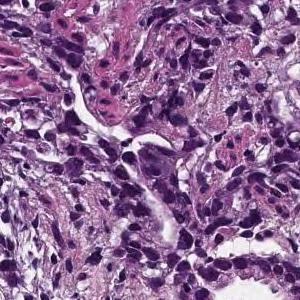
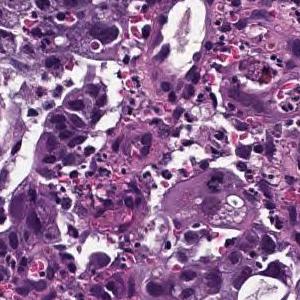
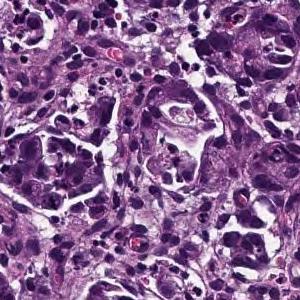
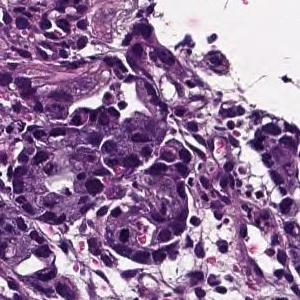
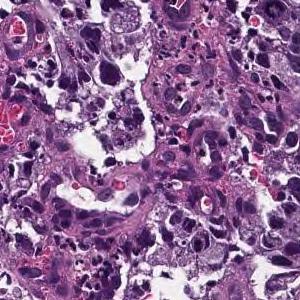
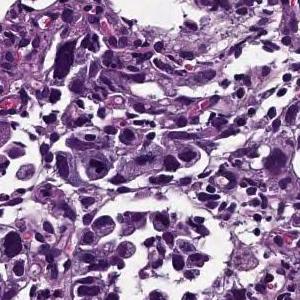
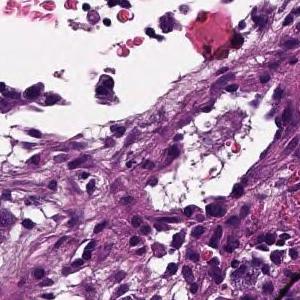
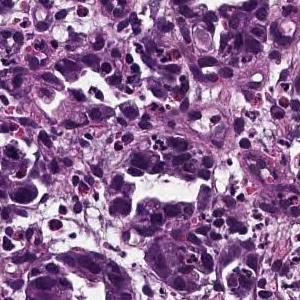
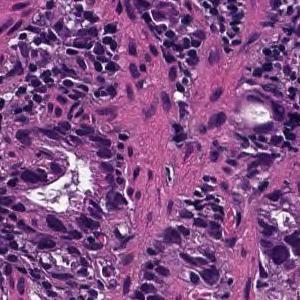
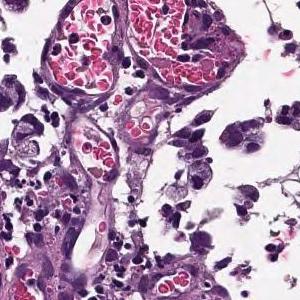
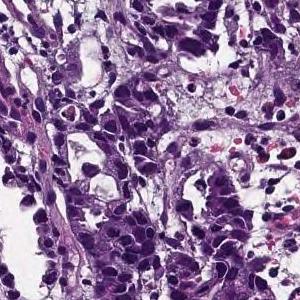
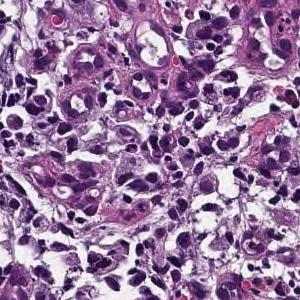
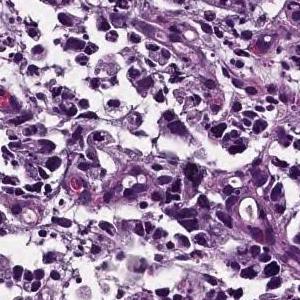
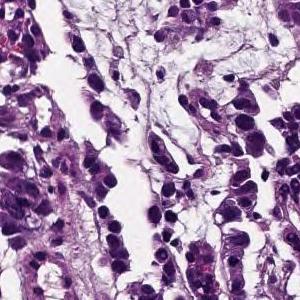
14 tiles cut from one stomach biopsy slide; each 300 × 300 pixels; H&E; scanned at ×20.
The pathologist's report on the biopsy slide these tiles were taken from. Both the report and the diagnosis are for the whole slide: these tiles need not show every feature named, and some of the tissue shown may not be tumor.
Medium to small, irregular glandular ducts are formed in the superficial epithelium, and in some cases, the glandular ducts are fused to show solid alveolar lesions and infiltrating tumor tissue is observed. Moderately to poorly differentiated adenocarcinoma.
